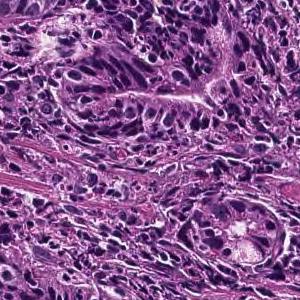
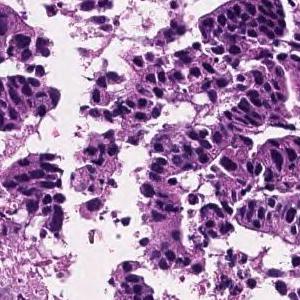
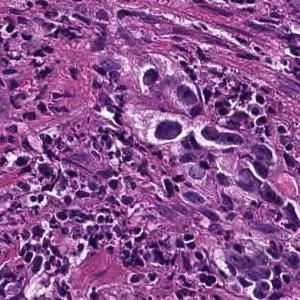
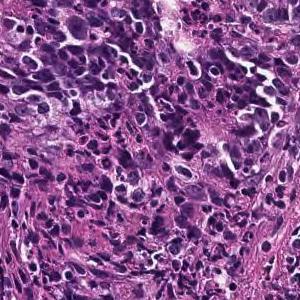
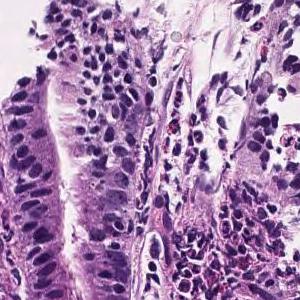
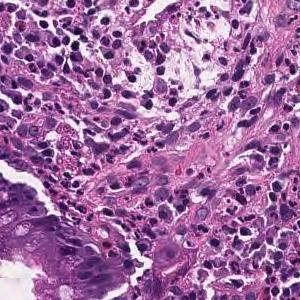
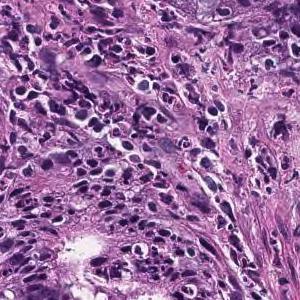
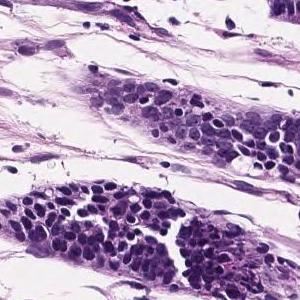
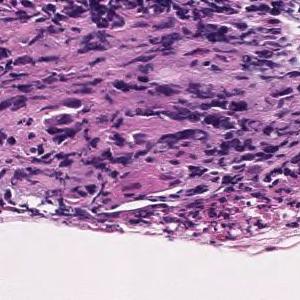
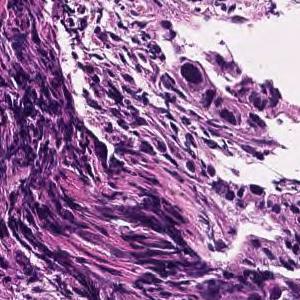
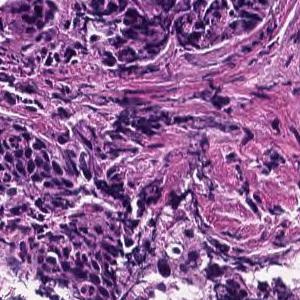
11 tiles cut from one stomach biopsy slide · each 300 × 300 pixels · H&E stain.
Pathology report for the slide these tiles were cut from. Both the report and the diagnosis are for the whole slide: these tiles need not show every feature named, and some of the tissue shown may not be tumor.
On the superficial epithelium, tumor tissue consisting of large, irregular glandular ducts partially fused and infiltrated is observed. Well to moderately differentiated tubular adenocarcinoma (well differentiated tubular adenocarcinoma, moderately differentiated tubular adenocarcinoma)
Subtype: Well to moderately differentiated tubular adenocarcinoma.
